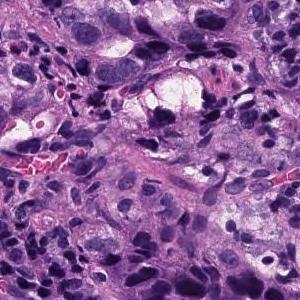
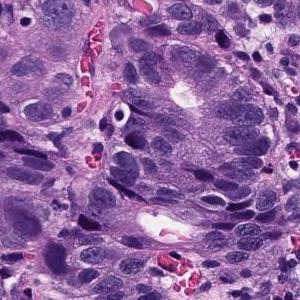
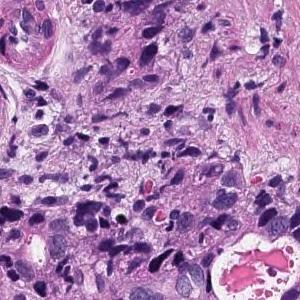
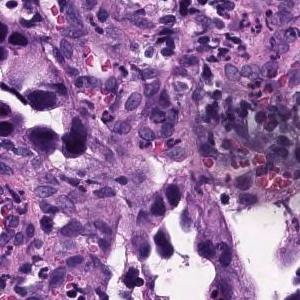
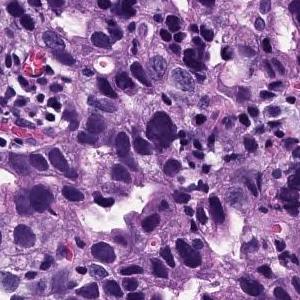
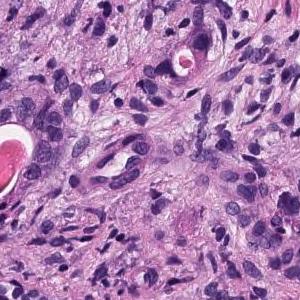
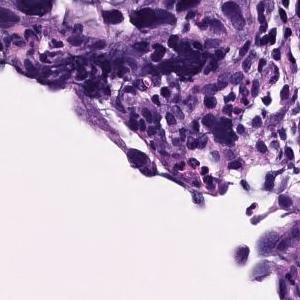
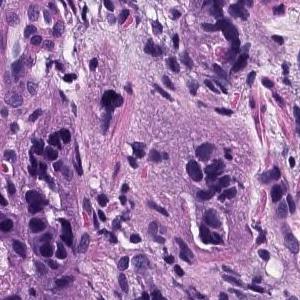
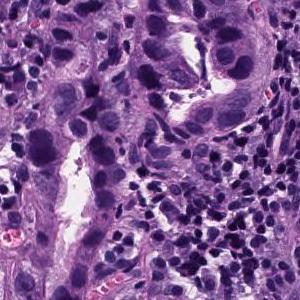
H&E; scanned at ×20; 9 tiles from the same stomach biopsy slide; 300×300 px each.
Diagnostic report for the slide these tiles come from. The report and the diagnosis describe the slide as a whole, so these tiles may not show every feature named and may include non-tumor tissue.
In the epithelium, tumor tissue in which medium to small irregular gland ducts fuse with each other and infiltrate the submucosa. moderately differentiated tubular adenocarcinoma
